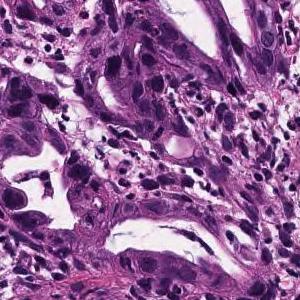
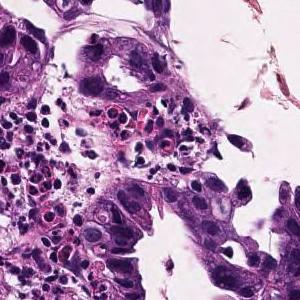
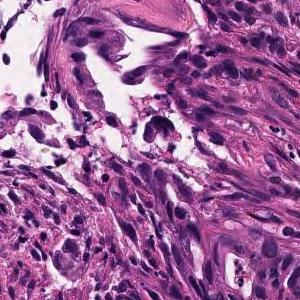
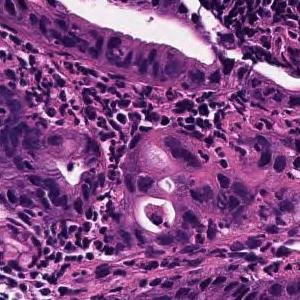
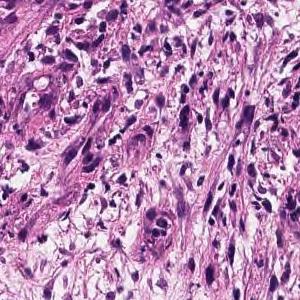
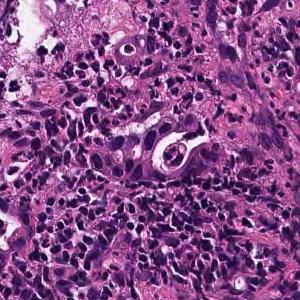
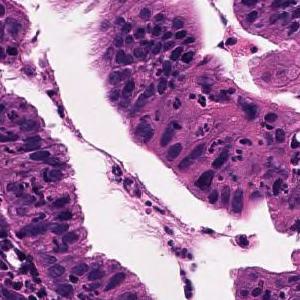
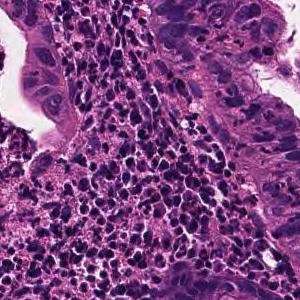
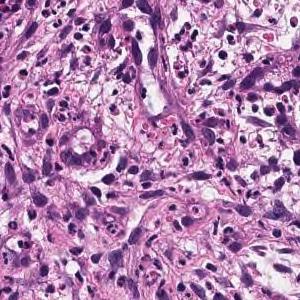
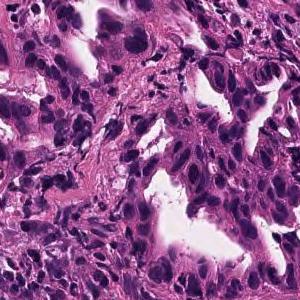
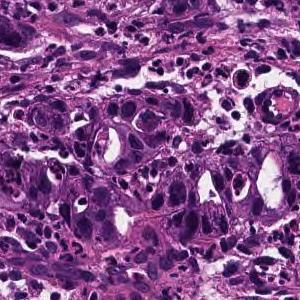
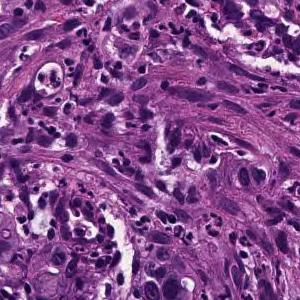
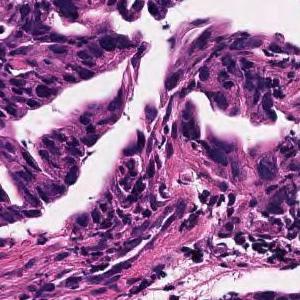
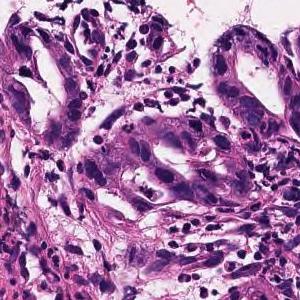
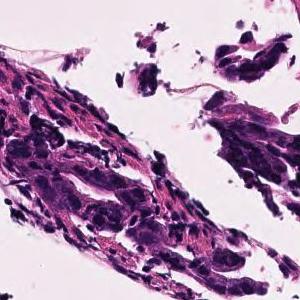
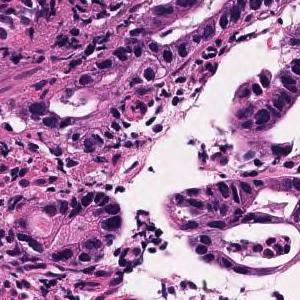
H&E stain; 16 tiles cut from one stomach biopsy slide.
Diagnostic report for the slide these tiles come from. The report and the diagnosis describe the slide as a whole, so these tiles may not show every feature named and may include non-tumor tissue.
In the superficial epithelium, medium-sized to small irregular glandular ducts are formed, and in some cases, the glandular ducts are fused or small cord-like infiltrating tumor tissue is observed. moderately differentiated tubular adenocarcinoma
